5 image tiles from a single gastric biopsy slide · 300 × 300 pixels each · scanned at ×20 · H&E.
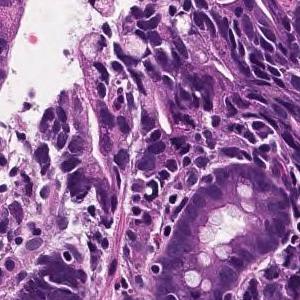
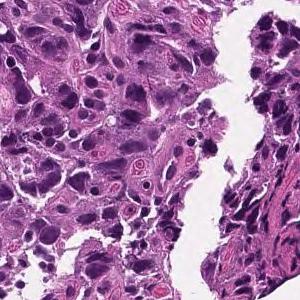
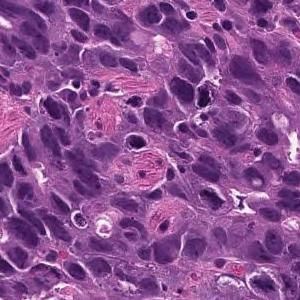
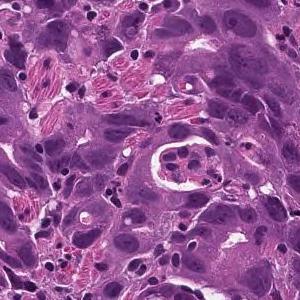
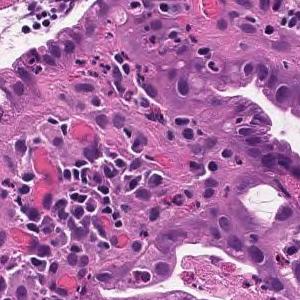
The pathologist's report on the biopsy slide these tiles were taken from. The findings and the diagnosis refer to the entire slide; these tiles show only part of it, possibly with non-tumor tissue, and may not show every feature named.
On the superficial epithelium, tumor tissue is found in which medium-sized irregular gland ducts fuse with each other and infiltrate. moderately differentiated tubular adenocarcinoma
